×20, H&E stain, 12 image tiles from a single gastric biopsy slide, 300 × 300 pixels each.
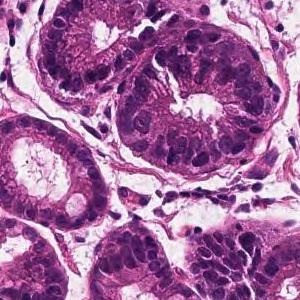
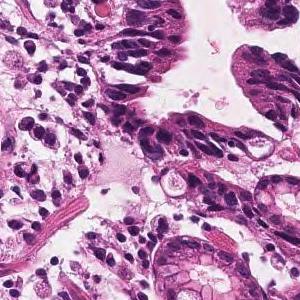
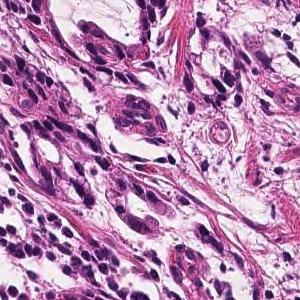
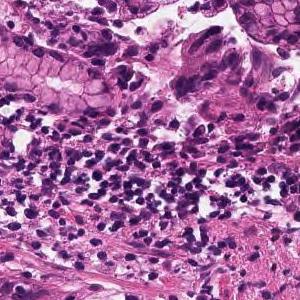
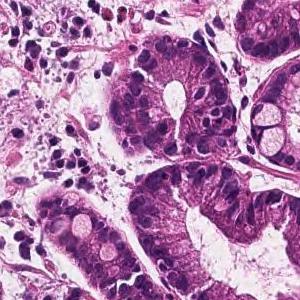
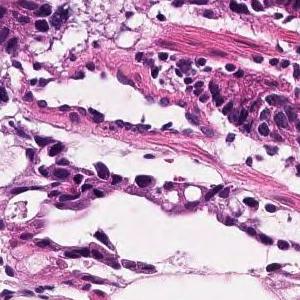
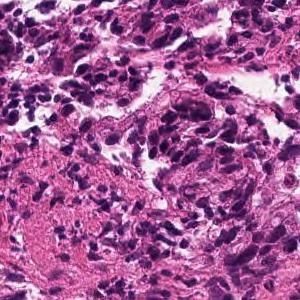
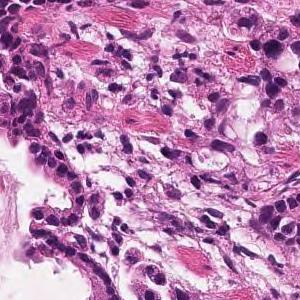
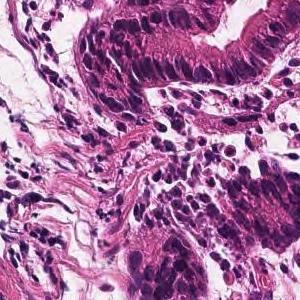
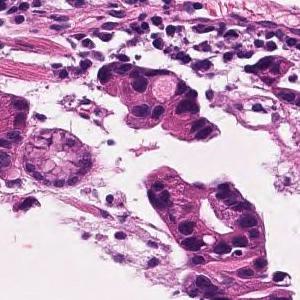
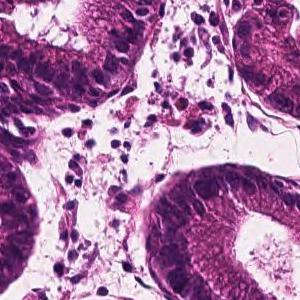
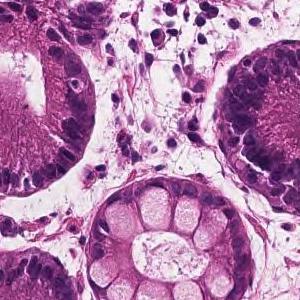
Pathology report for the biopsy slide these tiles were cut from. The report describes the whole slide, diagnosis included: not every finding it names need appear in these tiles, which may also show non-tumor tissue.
In the superficial epithelium, tumor tissue that invades by forming medium-sized to small, irregular ducts is observed. moderately differentiated tubular adenocarcinoma.
